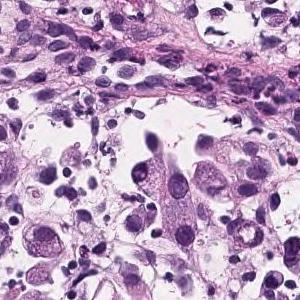
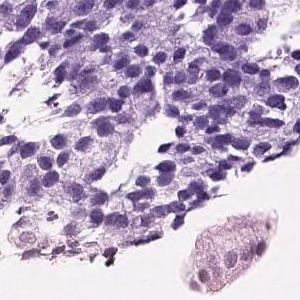
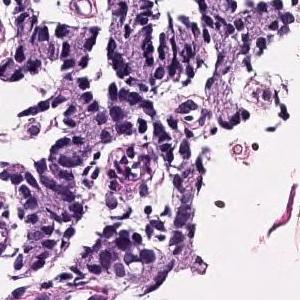
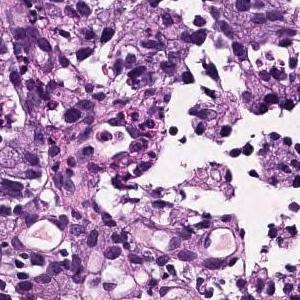
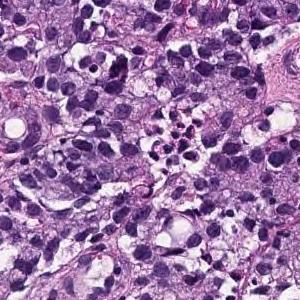
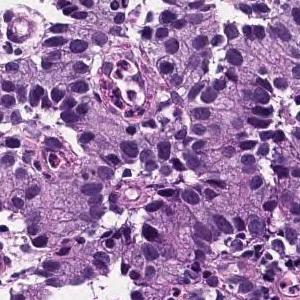
Hematoxylin and eosin stain, ×20, 6 image tiles from a single gastric biopsy slide, 300 × 300 pixels each.
The pathologist's report on the biopsy slide these tiles were taken from. The report and the diagnosis cover the entire slide, so not every feature they name need be visible here, and some tissue shown may not be tumor.
Tumor tissue infiltrated by irregular fusion of small cord-like structures is found in the superficial epithelium. Poorly differentiated adenocarcinoma, non-solid type
"Non-solid type" is a category of the Japanese Classification of Gastric Carcinoma.
